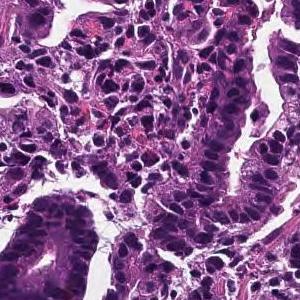
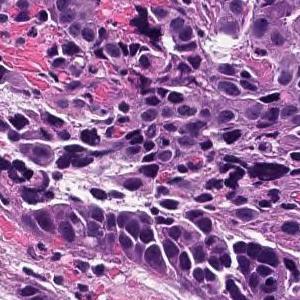
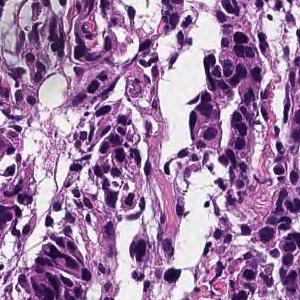
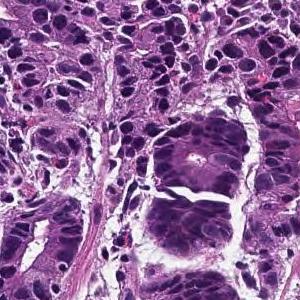
4 tiles from the same stomach biopsy slide · each 300 × 300 pixels · 20× magnification · hematoxylin and eosin stain.
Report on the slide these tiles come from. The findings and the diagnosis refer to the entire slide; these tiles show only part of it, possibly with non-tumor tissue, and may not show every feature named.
In the superficial epithelium, tumor tissue that invades by forming medium-sized to small, irregular ducts is observed. moderately differentiated tubular adenocarcinoma.
